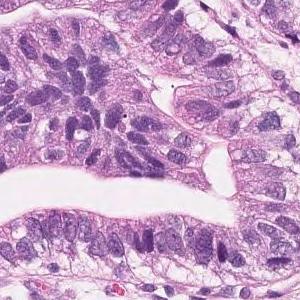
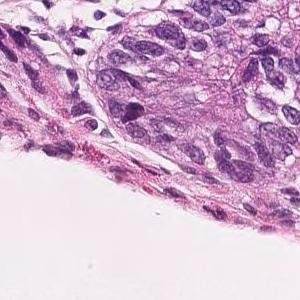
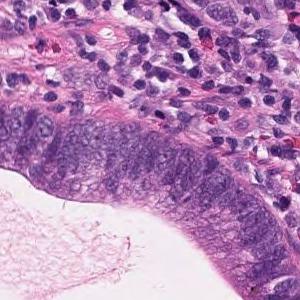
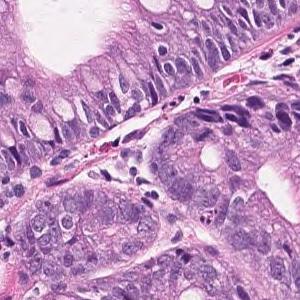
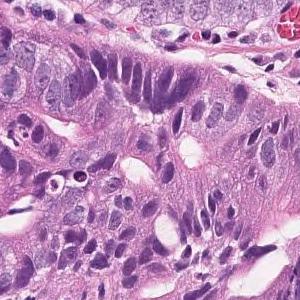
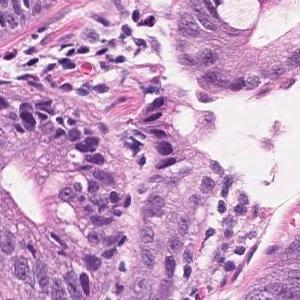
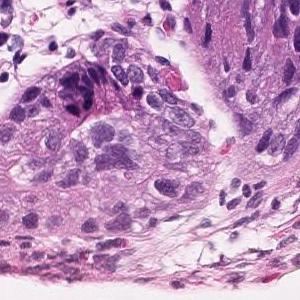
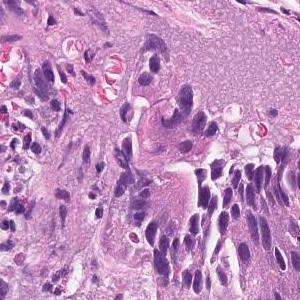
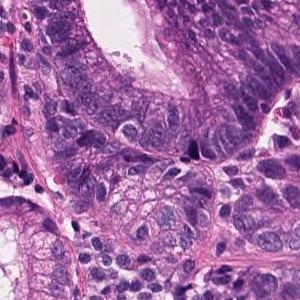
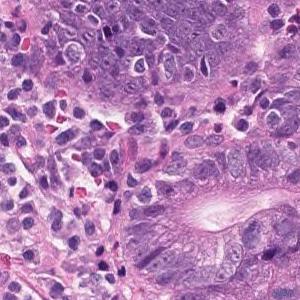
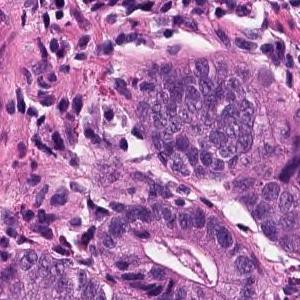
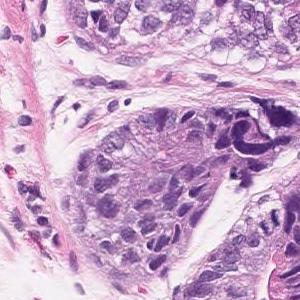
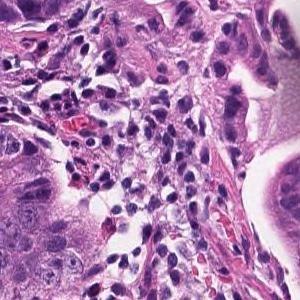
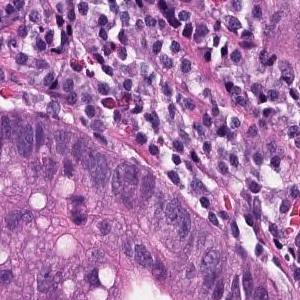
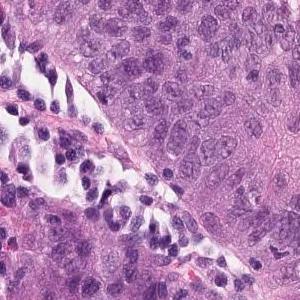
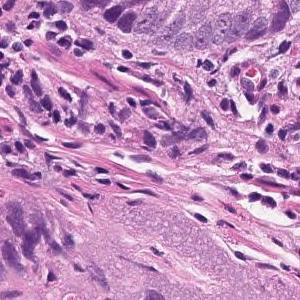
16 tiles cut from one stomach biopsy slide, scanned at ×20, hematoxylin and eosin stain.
Pathology report for the slide these tiles were cut from. The findings and the diagnosis refer to the entire slide; these tiles show only part of it, possibly with non-tumor tissue, and may not show every feature named.
Tumor cells are large, highly columnar, large club-shaped nuclei, and are associated with chromatin aggregation. Papillary adenocarcinoma.
